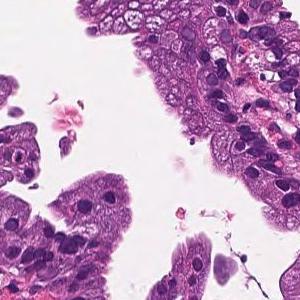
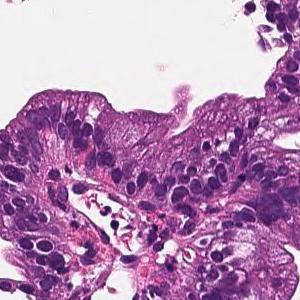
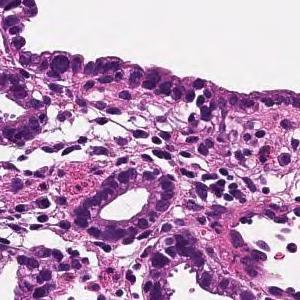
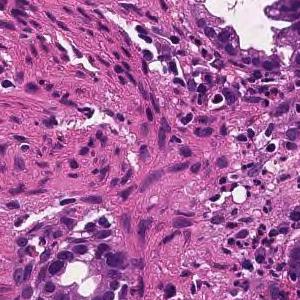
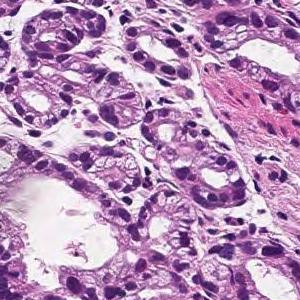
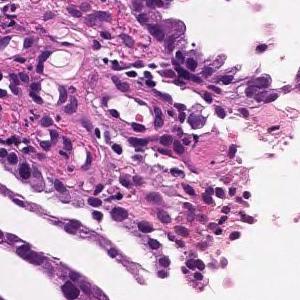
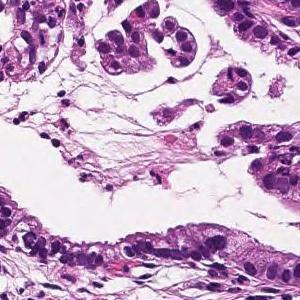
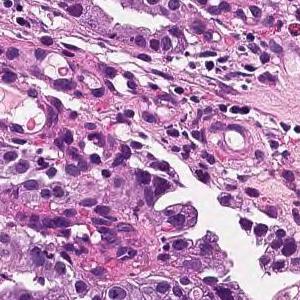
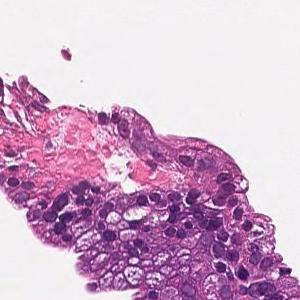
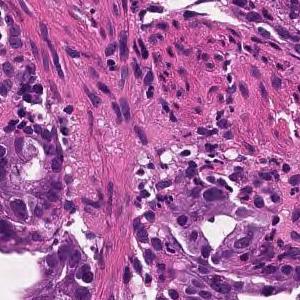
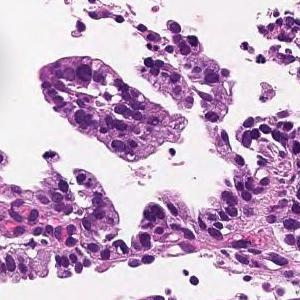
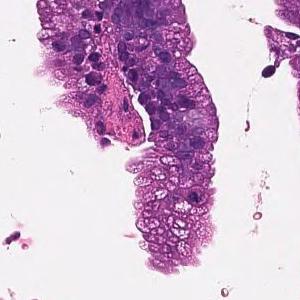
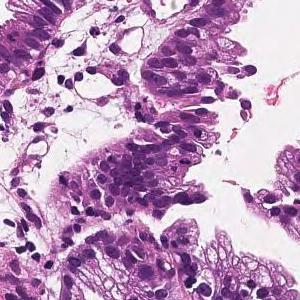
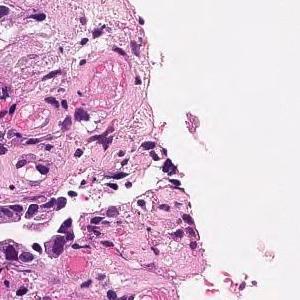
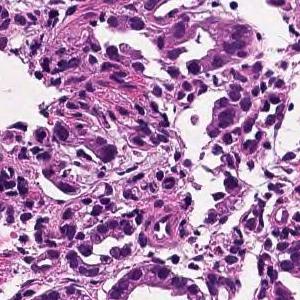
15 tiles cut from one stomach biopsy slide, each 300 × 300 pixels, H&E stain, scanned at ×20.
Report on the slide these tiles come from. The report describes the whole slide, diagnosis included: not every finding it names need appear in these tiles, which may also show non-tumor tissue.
On the superficial epithelium, tumor tissue that infiltrates by forming medium-sized papillary or small irregular ducts is observed. Papillary adenocarcinoma
